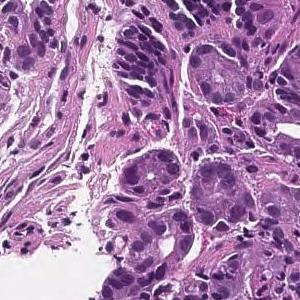
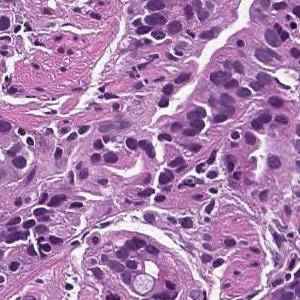
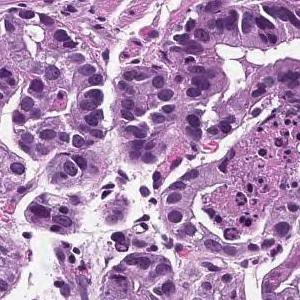
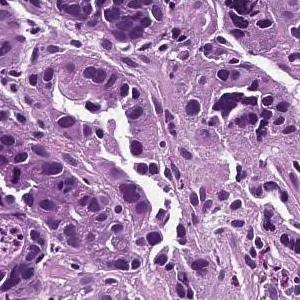
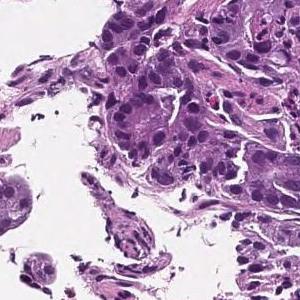
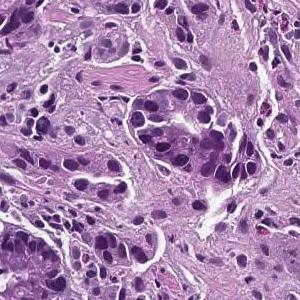
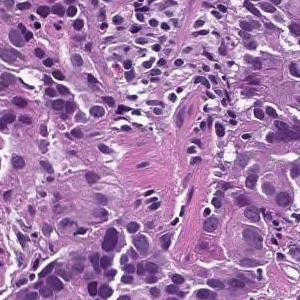
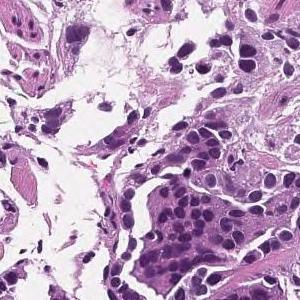
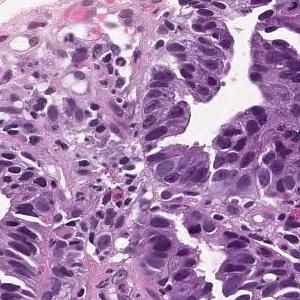
20× magnification · 9 image tiles from a single gastric biopsy slide · 300 × 300 pixels each.
The pathologist's report on the biopsy slide these tiles were taken from. Both the report and the diagnosis are for the whole slide: these tiles need not show every feature named, and some of the tissue shown may not be tumor.
From the superficial epithelium to the muscularis mucosae, tumor tissue consisting of medium-sized and irregular glandular ducts infiltrating is observed. Well differentiated tubular adenocarcinoma
